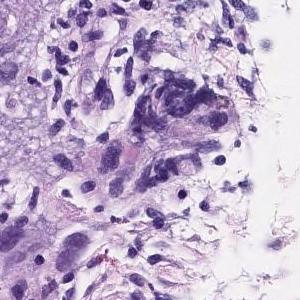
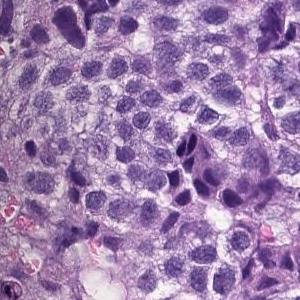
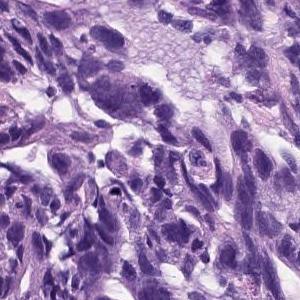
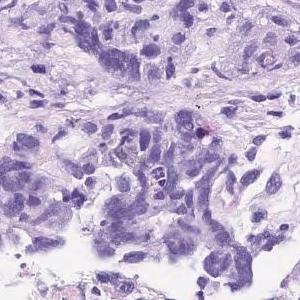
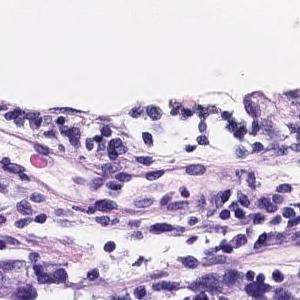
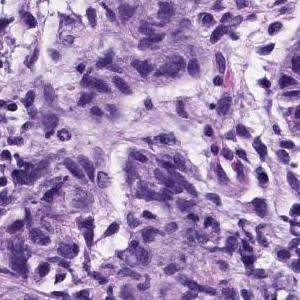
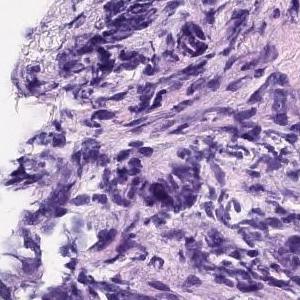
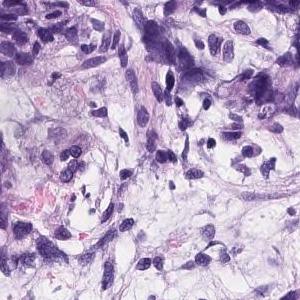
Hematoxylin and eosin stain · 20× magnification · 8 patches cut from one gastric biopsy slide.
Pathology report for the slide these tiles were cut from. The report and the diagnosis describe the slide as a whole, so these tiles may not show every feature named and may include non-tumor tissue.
Atypical epithelial cells with an increased N/C ratio proliferate and consist of a part that shows the formation of gland ducts and a part that shows solid growth. Poorly differentiated adenocarcinoma, solid-type
Subtype: Poorly differentiated adenocarcinoma, solid type, a category of the Japanese Classification of Gastric Carcinoma; in the WHO 2019 classification it is tubular adenocarcinoma, poorly differentiated.
